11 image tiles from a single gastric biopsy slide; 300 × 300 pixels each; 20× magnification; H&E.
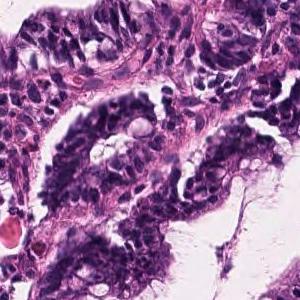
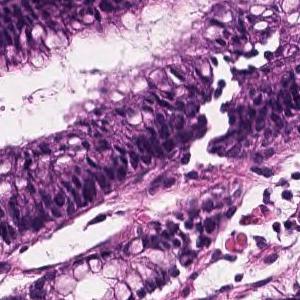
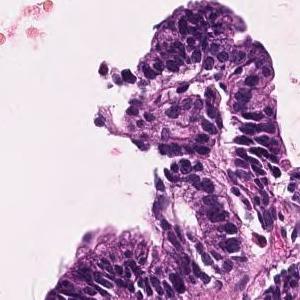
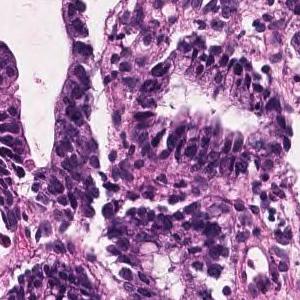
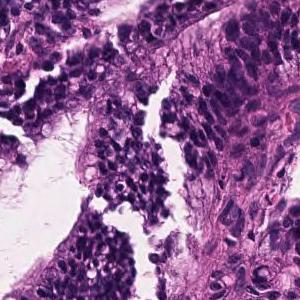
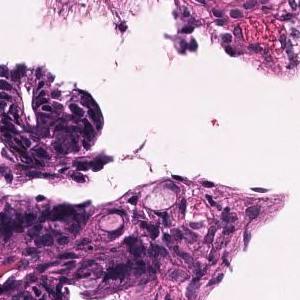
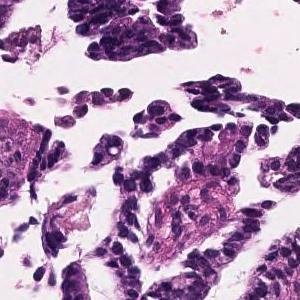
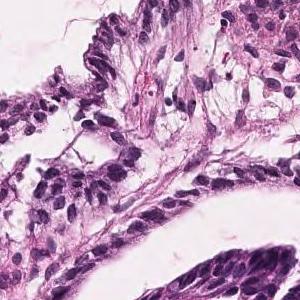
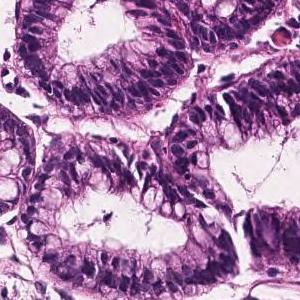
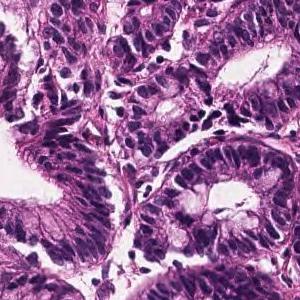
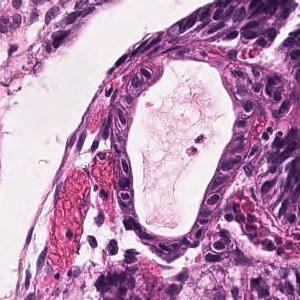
Pathology report for the slide these tiles were cut from. The report and the diagnosis describe the slide as a whole, so these tiles may not show every feature named and may include non-tumor tissue.
Cubic to columnar atypical epithelial cells proliferating showing papillary to papillary ductal structures is observed. Papillary adenocarcinoma.
